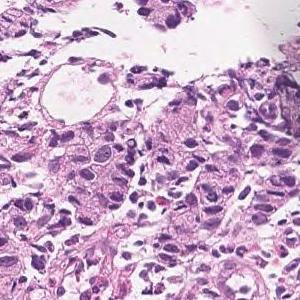
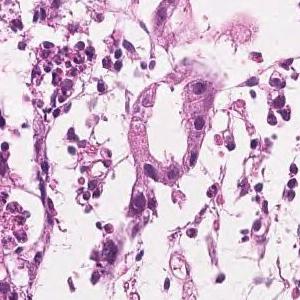
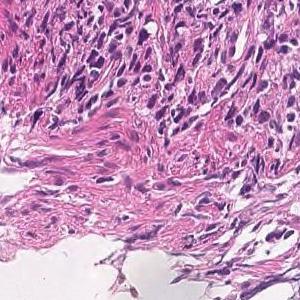
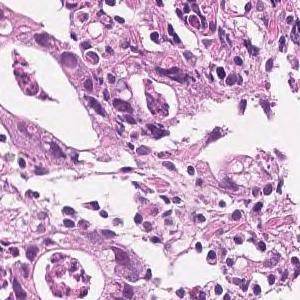
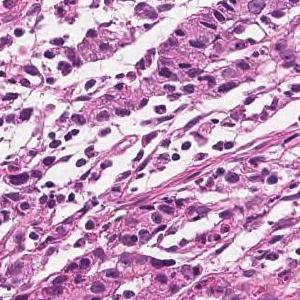
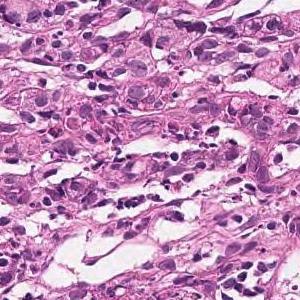
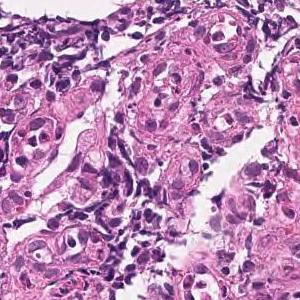
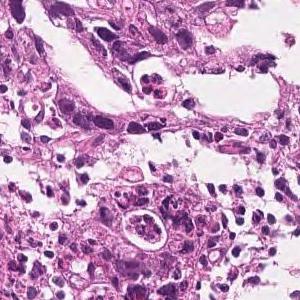
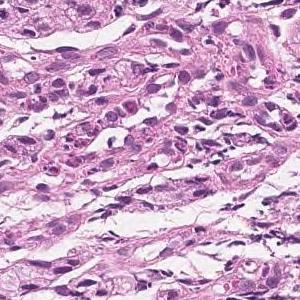
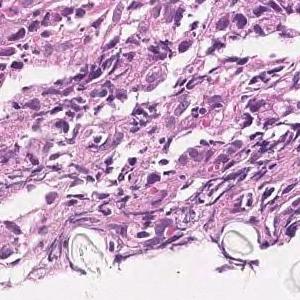
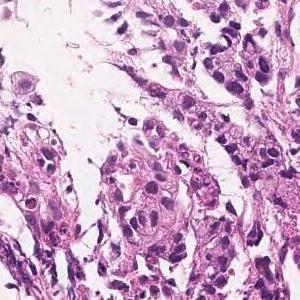
20× magnification, H&E stain, 11 patches cut from one gastric biopsy slide.
The pathologist's report on the biopsy slide these tiles were taken from. What the report and the diagnosis say applies to the whole slide; these tiles may miss some of the features named and may include tissue that is not tumor.
In the superficial epithelium, medium to small, irregular glandular ducts are formed, and in some parts, the glandular ducts are fused, and in other parts, small cord-like infiltrating tumor tissue is observed. Moderately to poorly differentiated adenocarcinoma.
